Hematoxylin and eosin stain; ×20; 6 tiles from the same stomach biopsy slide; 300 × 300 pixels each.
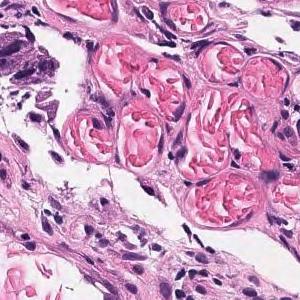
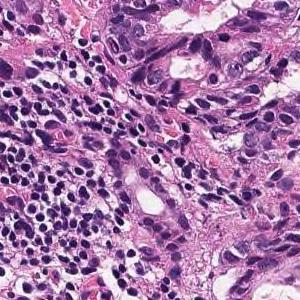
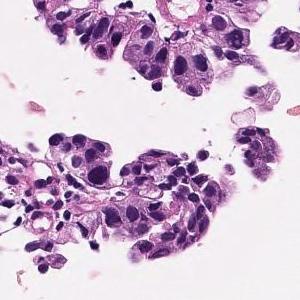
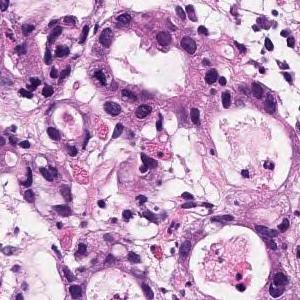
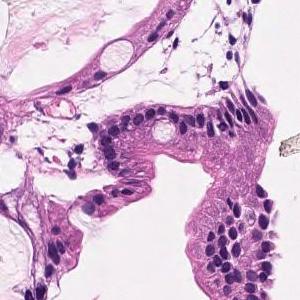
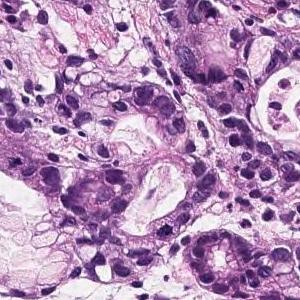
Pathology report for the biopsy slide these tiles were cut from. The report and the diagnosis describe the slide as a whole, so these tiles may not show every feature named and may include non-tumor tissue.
In the superficial epithelium, tumor tissue that invades by forming medium-sized to small, irregular ducts is observed. Moderately differentiated adenocarcinoma.
Histological subtype: Moderately differentiated tubular adenocarcinoma.
